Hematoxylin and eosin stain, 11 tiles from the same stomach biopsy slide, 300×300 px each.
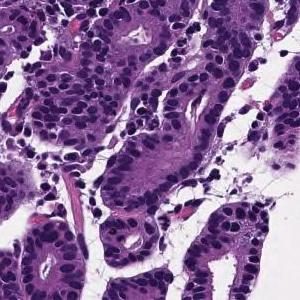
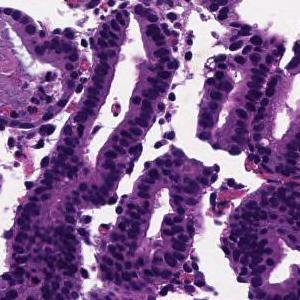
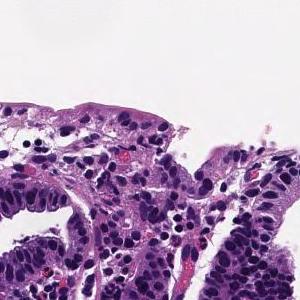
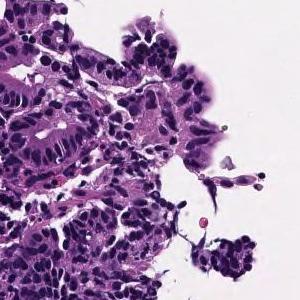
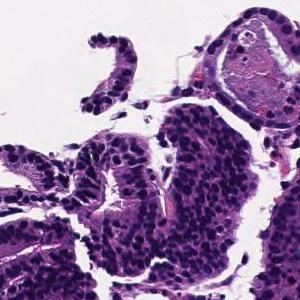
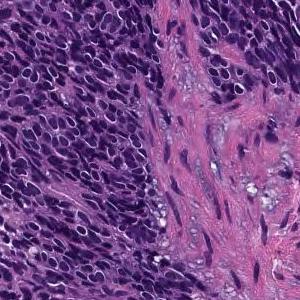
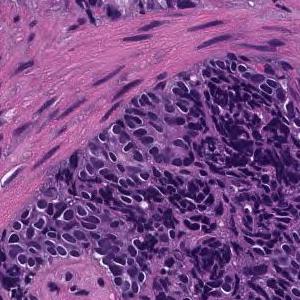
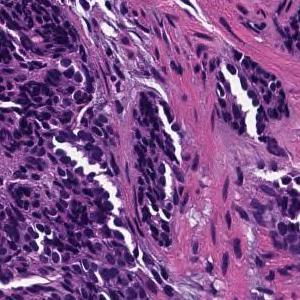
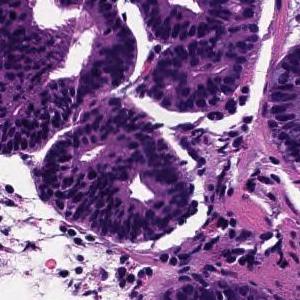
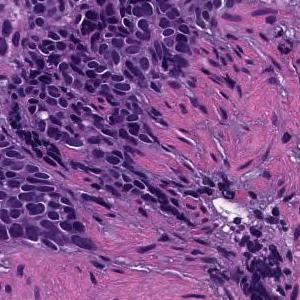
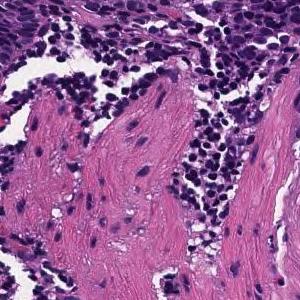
The pathologist's report on the biopsy slide these tiles were taken from. The report describes the whole slide, diagnosis included: not every finding it names need appear in these tiles, which may also show non-tumor tissue.
Tumor tissue consisting of medium-sized, cord-like or irregular glandular infiltration is observed in the superficial epithelium. Poorly differentiated adenocarcinoma, non-solid type or moderately differentiated tubular adenocarcinoma
Classified as moderately to poorly differentiated adenocarcinoma.
"Non-solid type" is a category of the Japanese Classification of Gastric Carcinoma.
